6 tiles cut from one stomach biopsy slide; 300×300 px each; H&E; ×20.
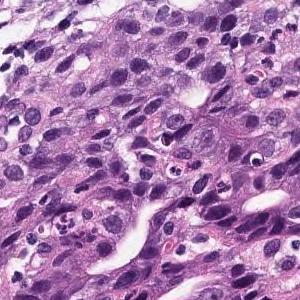
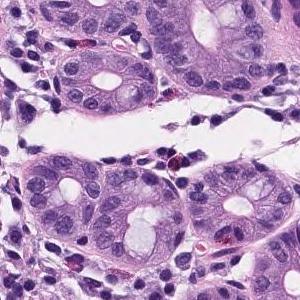
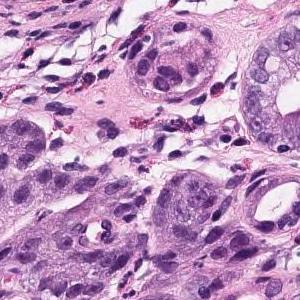
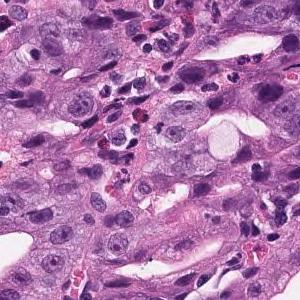
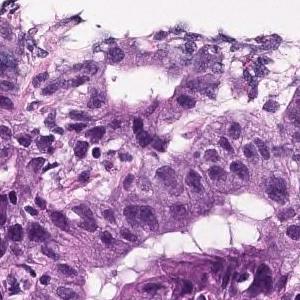
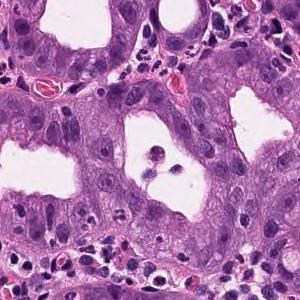
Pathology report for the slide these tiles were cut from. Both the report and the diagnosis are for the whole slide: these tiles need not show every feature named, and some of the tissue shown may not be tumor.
In the superficial epithelium, tumor tissue that invades by forming medium-sized to small, irregular ducts is observed. Well to moderately differentiated adenocarcinoma (well differentiated tubular adenocarcinoma, moderately differentiated tubular adenocarcinoma).
Classified as well to moderately differentiated tubular adenocarcinoma.
